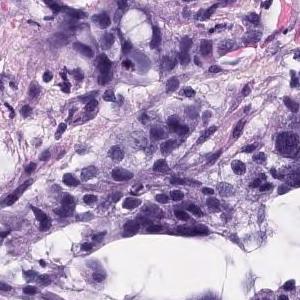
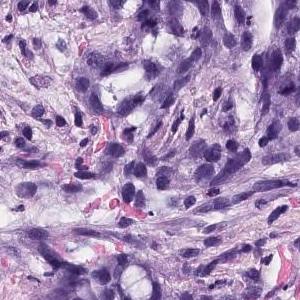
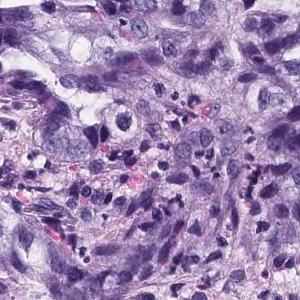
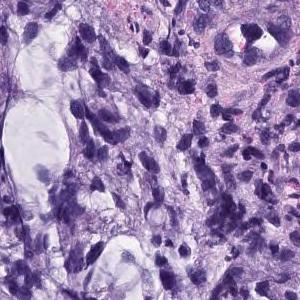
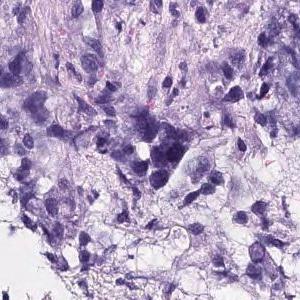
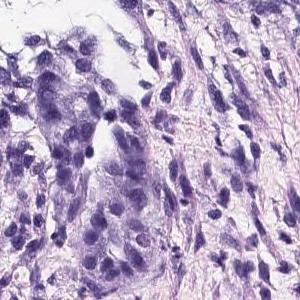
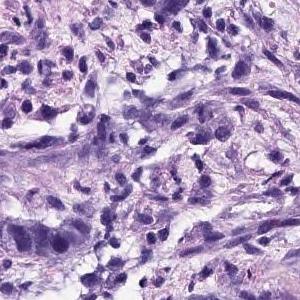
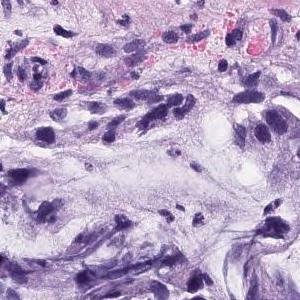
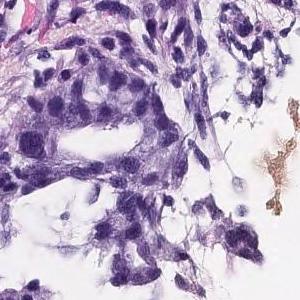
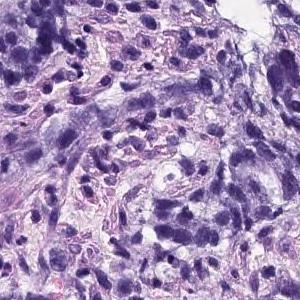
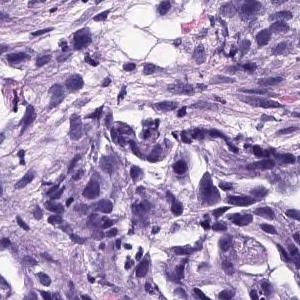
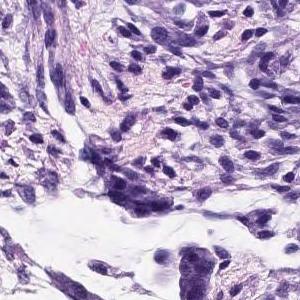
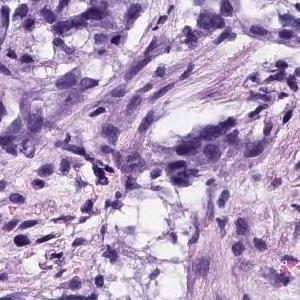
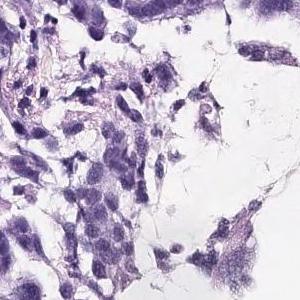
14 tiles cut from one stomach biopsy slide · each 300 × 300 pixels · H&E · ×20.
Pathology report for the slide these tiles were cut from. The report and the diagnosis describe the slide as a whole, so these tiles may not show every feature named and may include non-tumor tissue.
Atypical l cells with atypical nuclei forming solid or diffuse vesicle nests and proliferating in a complex manner. Poorly differentiated adenocarcinoma, moderately differentiated tubular adenocarcinoma
Classified as moderately to poorly differentiated adenocarcinoma.
